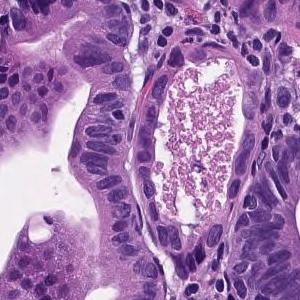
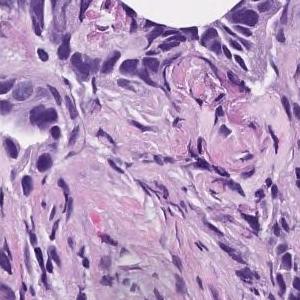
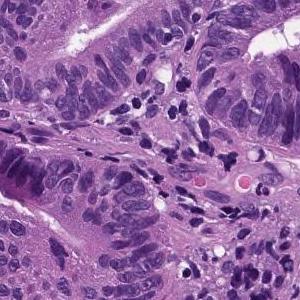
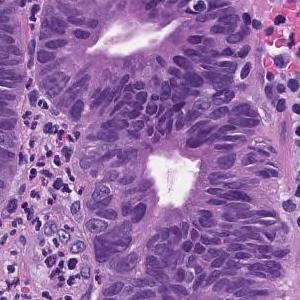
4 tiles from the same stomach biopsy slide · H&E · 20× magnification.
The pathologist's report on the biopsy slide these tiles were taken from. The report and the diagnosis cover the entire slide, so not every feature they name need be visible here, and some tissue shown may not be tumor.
In the superficial epithelium, tumor tissue that invades by forming medium-sized to small, irregular ducts is observed. moderately differentiated tubular adenocarcinoma.
